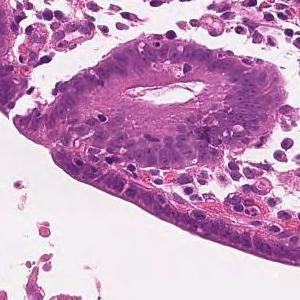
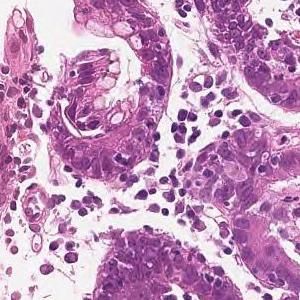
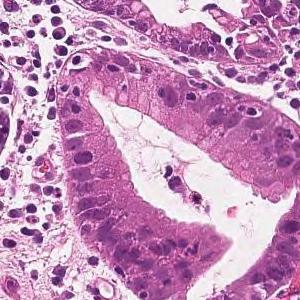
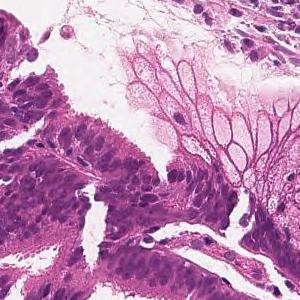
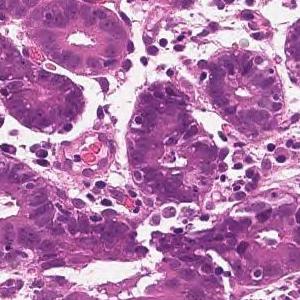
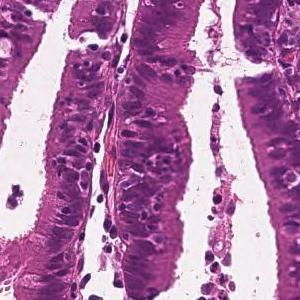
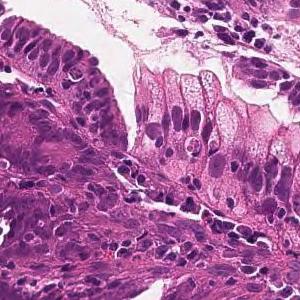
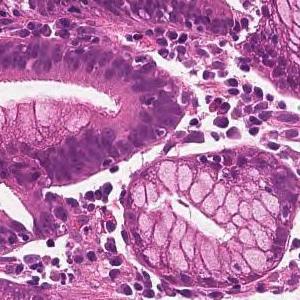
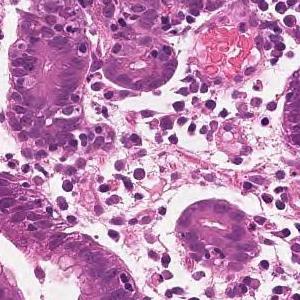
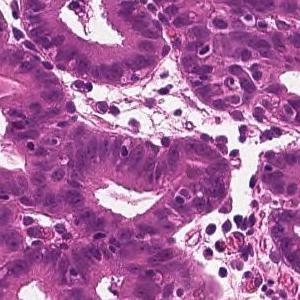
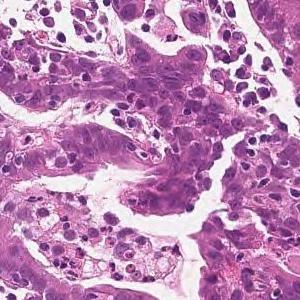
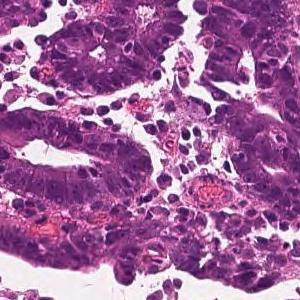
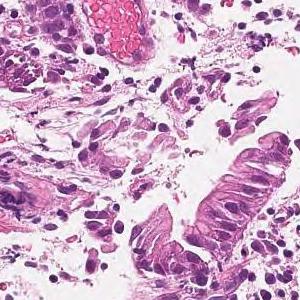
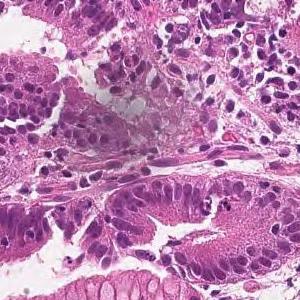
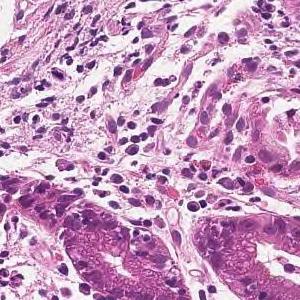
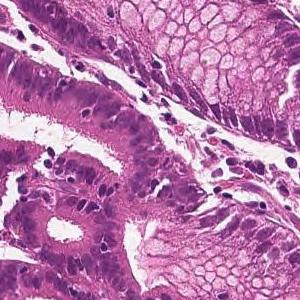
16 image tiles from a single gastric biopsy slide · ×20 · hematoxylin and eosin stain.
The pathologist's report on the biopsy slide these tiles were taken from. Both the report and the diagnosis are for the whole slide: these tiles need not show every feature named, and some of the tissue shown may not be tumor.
On the superficial epithelium, tumor tissue is found in which medium-sized irregular gland ducts fuse with each other and infiltrate. moderately differentiated tubular adenocarcinoma
